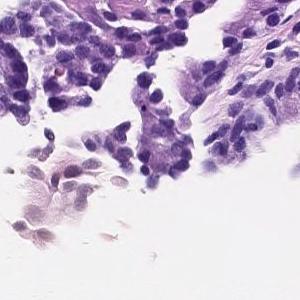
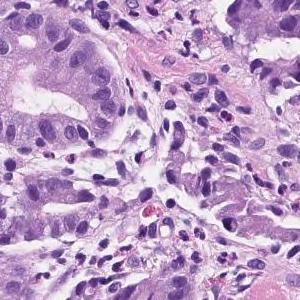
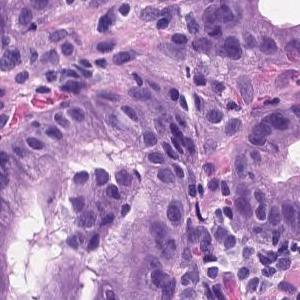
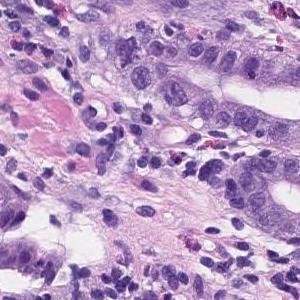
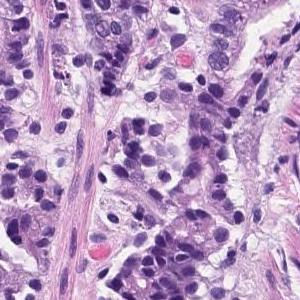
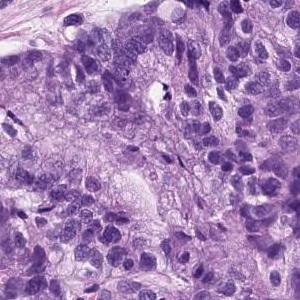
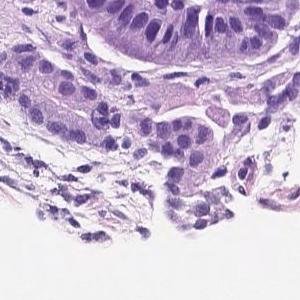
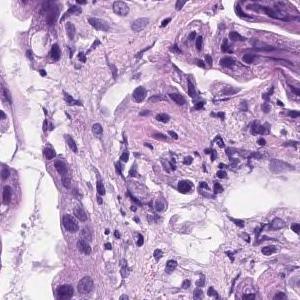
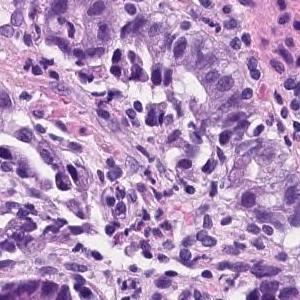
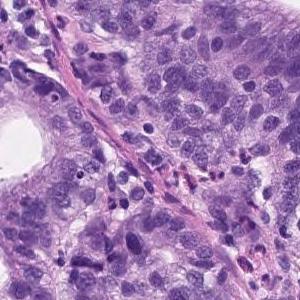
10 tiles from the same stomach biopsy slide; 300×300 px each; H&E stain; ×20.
The pathologist's report on the biopsy slide these tiles were taken from. The report and the diagnosis cover the entire slide, so not every feature they name need be visible here, and some tissue shown may not be tumor.
Tumor tissue consisting of medium-sized and irregular ducts is observed infiltrating in the superficial epithelium. Tumor cells are highly columnar, with nuclei aligned basolaterally and polarized. Well differentiated tubular adenocarcinoma.
